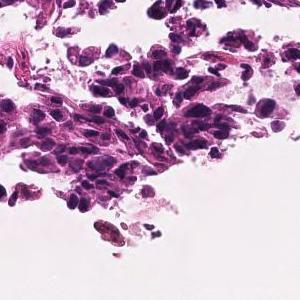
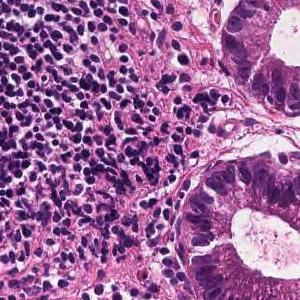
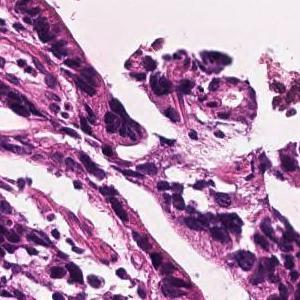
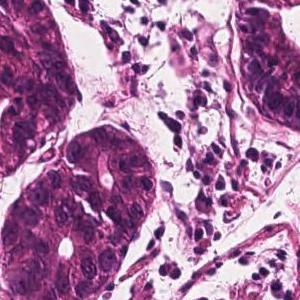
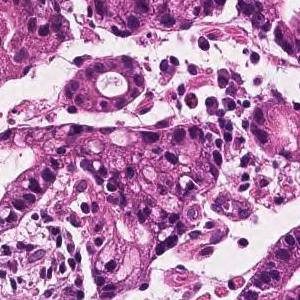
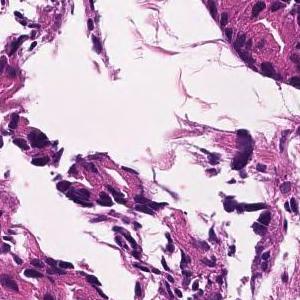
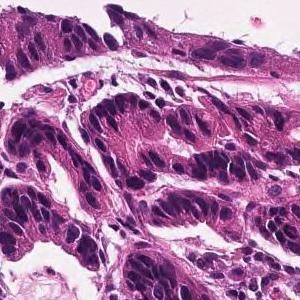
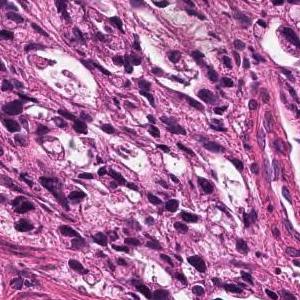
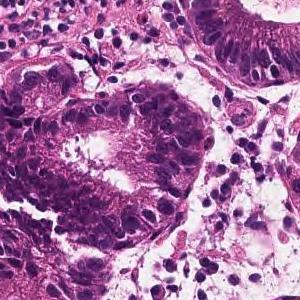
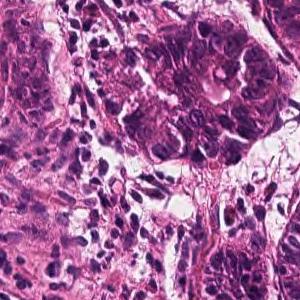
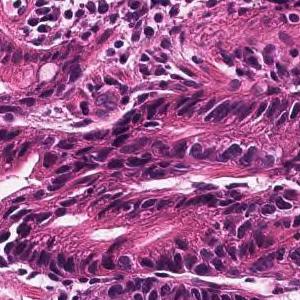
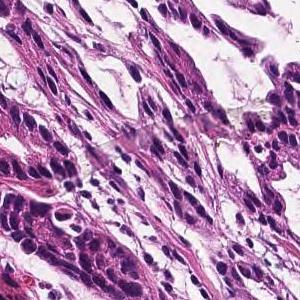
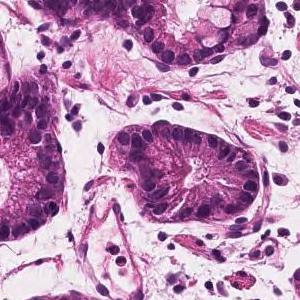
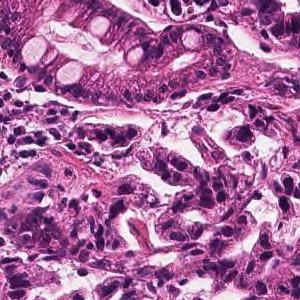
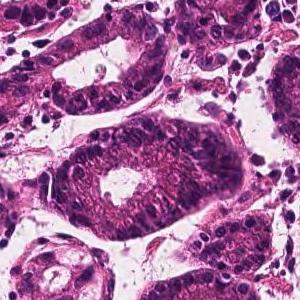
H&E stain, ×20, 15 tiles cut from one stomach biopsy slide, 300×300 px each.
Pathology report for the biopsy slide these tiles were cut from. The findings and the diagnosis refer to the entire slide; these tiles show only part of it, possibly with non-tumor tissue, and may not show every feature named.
In the superficial epithelium, tumor tissue that invades by forming medium-sized to small, irregular ducts is observed. moderately differentiated tubular adenocarcinoma.
